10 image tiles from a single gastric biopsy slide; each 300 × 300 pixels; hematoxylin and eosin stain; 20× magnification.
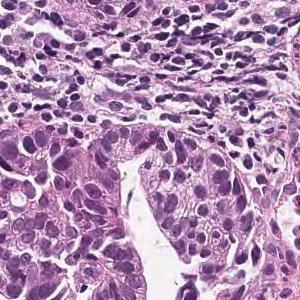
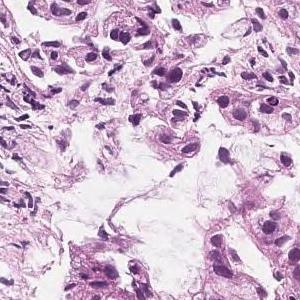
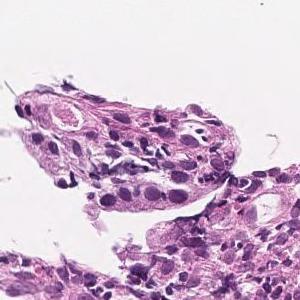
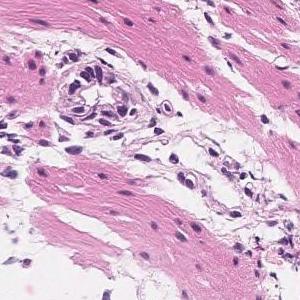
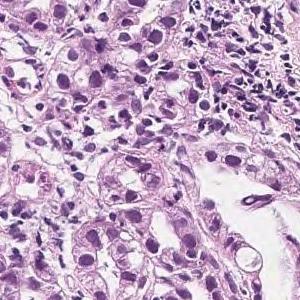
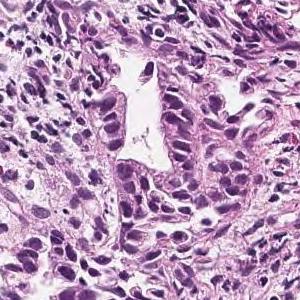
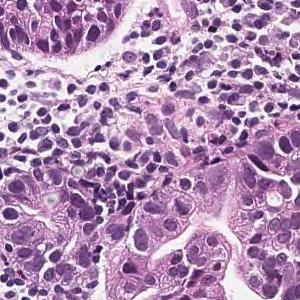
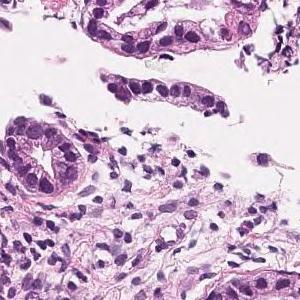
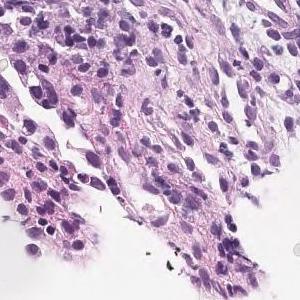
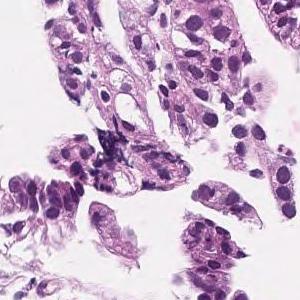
Pathology report for the biopsy slide these tiles were cut from. The findings and the diagnosis refer to the entire slide; these tiles show only part of it, possibly with non-tumor tissue, and may not show every feature named.
In the superficial epithelium, tumor tissue that invades by forming medium-sized to small, irregular ducts is observed. moderately differentiated tubular adenocarcinoma.
